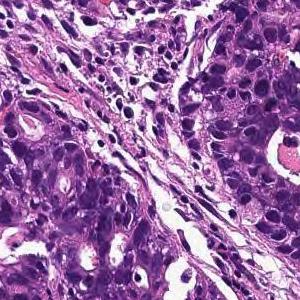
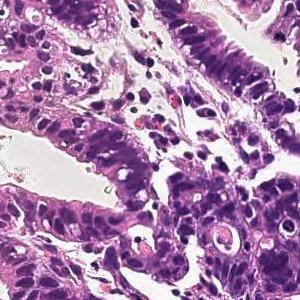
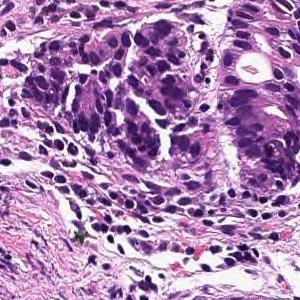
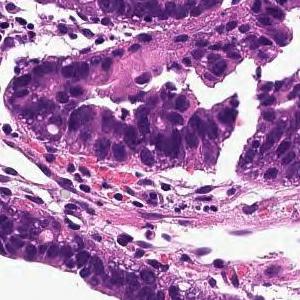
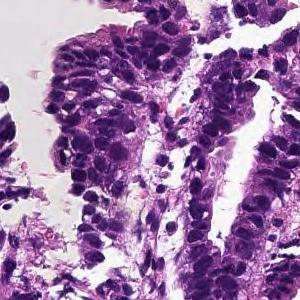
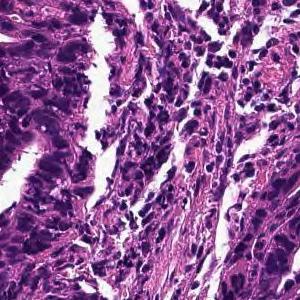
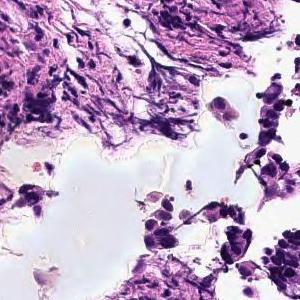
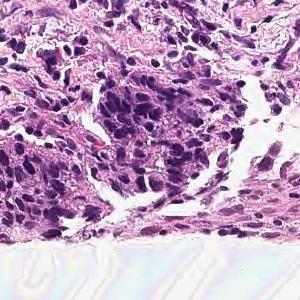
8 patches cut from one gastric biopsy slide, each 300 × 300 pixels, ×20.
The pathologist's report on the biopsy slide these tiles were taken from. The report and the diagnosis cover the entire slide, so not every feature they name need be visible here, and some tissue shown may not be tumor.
In the superficial epithelium, tumor tissue that invades by forming medium-sized to small, irregular ducts is observed. moderately differentiated tubular adenocarcinoma.
